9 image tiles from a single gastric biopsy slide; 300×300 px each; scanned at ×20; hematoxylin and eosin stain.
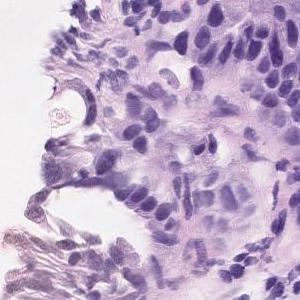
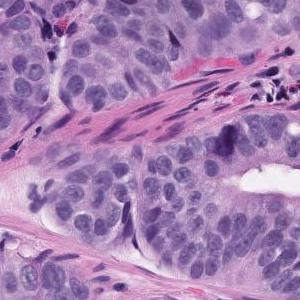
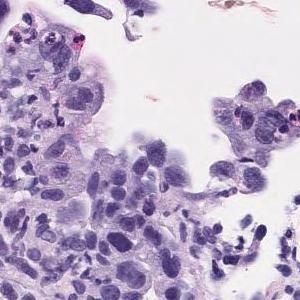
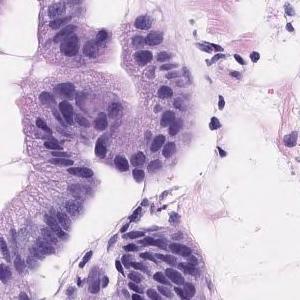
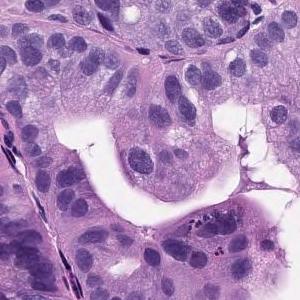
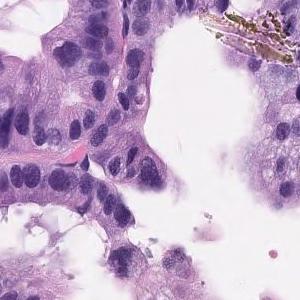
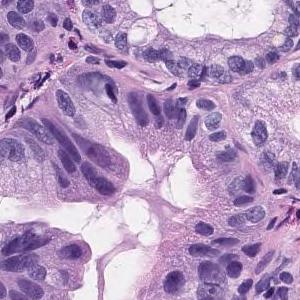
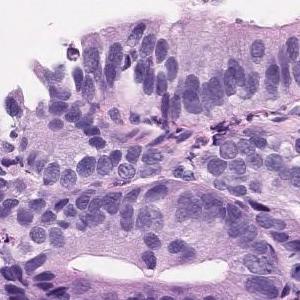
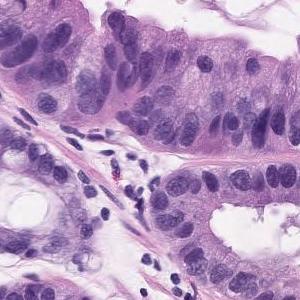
Pathology report for the biopsy slide these tiles were cut from. What the report and the diagnosis say applies to the whole slide; these tiles may miss some of the features named and may include tissue that is not tumor.
Tumor tissue consisting of medium-sized and irregular ducts is observed infiltrating in the superficial epithelium. Tumor cells are highly columnar, with nuclei aligned basolaterally and polarized. Well differentiated tubular adenocarcinoma.
